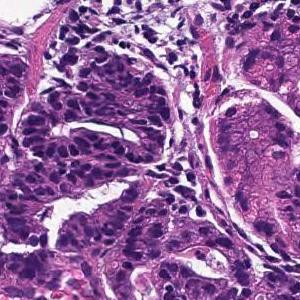
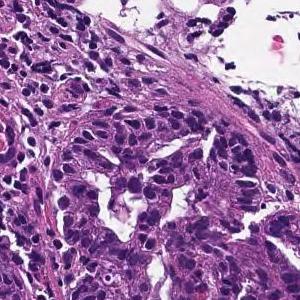
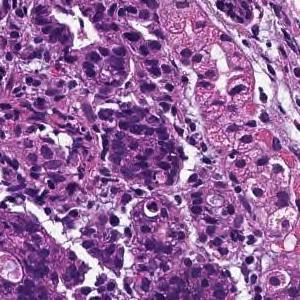
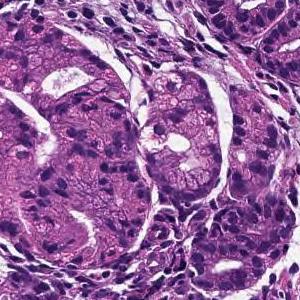
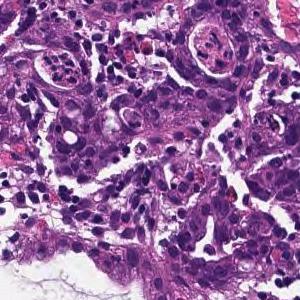
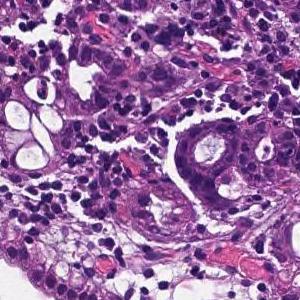
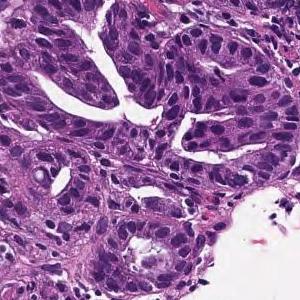
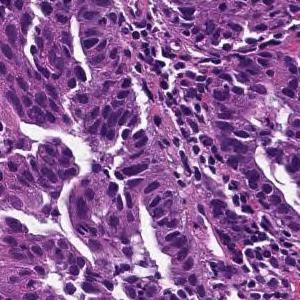
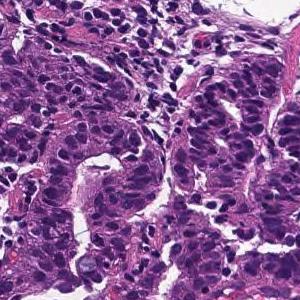
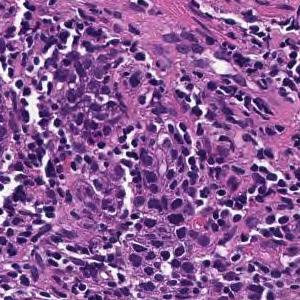
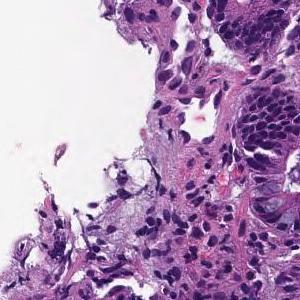
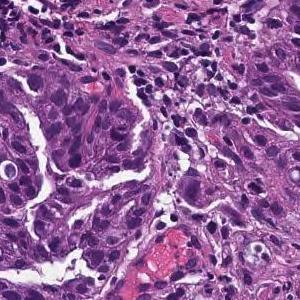
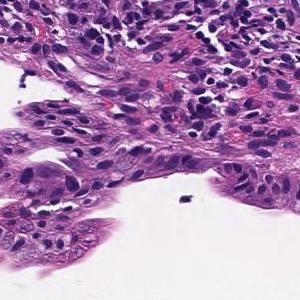
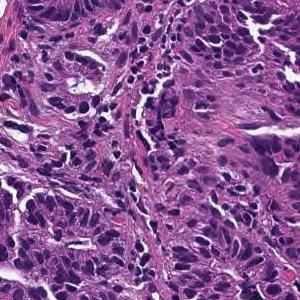
H&E stain; 14 tiles from the same stomach biopsy slide; 300 × 300 pixels each.
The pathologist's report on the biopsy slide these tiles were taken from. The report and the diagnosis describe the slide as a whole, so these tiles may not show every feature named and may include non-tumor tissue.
On the superficial epithelium, tumor tissue consisting of large irregular glandular ducts partially fused and infiltrated is observed. Well to moderately differentiated tubular adenocarcinoma (well differentiated tubular adenocarcinoma, moderately differentiated tubular adenocarcinoma)
Tumor subtype: well to moderately differentiated tubular adenocarcinoma.
